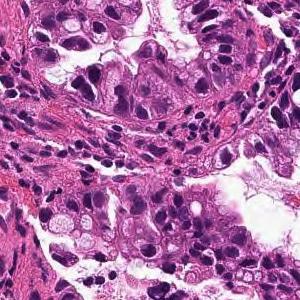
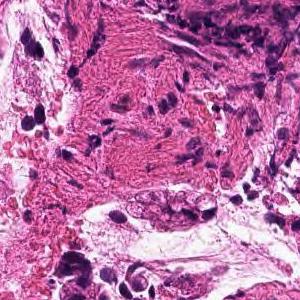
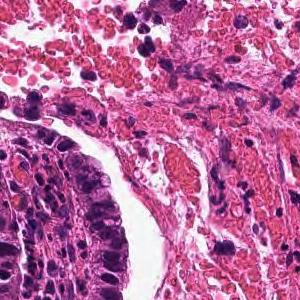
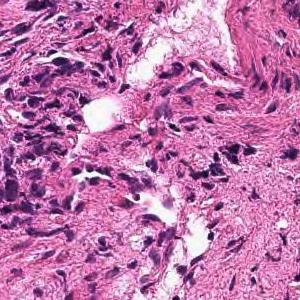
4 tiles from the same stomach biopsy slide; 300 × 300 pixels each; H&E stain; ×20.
Pathology report for the slide these tiles were cut from. The report describes the whole slide, diagnosis included: not every finding it names need appear in these tiles, which may also show non-tumor tissue.
From the superficial epithelium to the muscularis mucosae, tumor tissue infiltrating by forming medium-sized irregular gland ducts is observed. Well differentiated tubular adenocarcinoma
